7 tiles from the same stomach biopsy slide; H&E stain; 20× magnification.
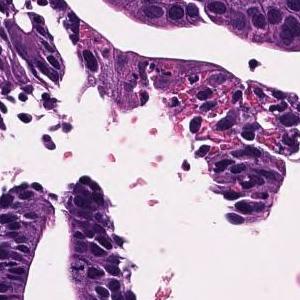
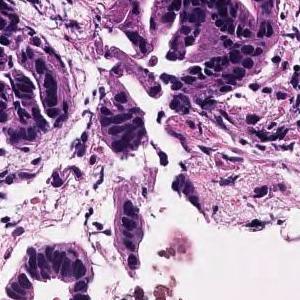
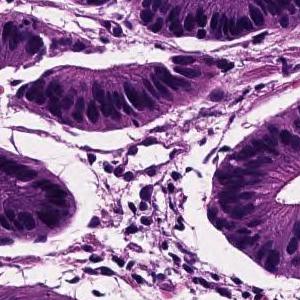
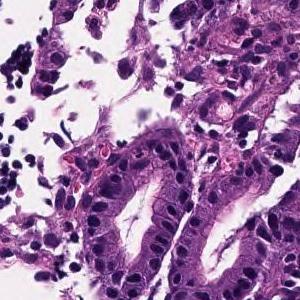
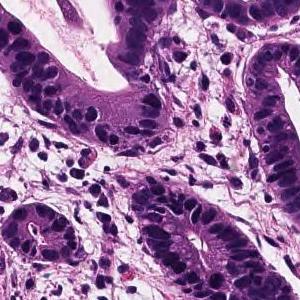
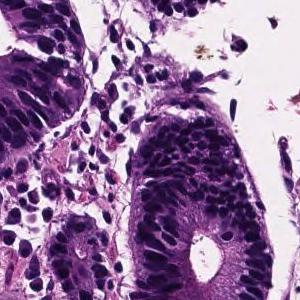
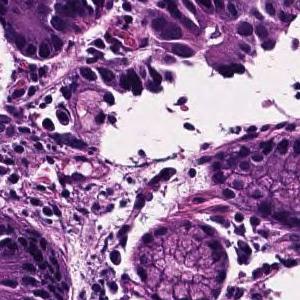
The pathologist's report on the biopsy slide these tiles were taken from. The findings and the diagnosis refer to the entire slide; these tiles show only part of it, possibly with non-tumor tissue, and may not show every feature named.
From the superficial epithelium to the muscularis mucosae, tumor tissue consisting of medium-sized and irregular glandular ducts infiltrating is observed. Well differentiated tubular adenocarcinoma
